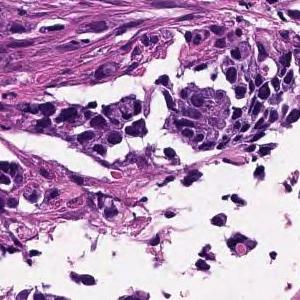
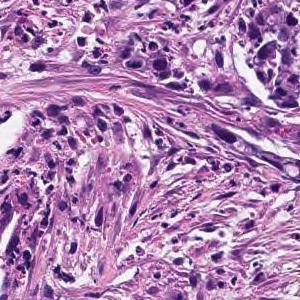
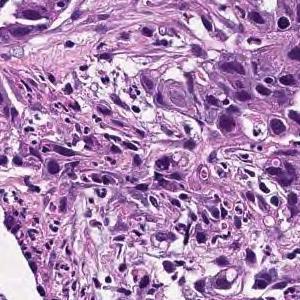
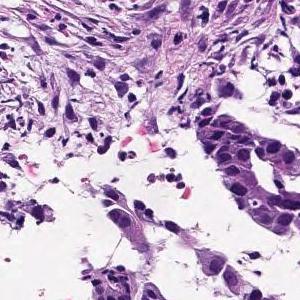
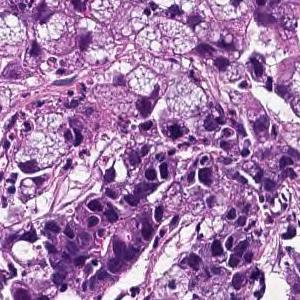
Hematoxylin and eosin stain, 20× magnification, 5 tiles from the same stomach biopsy slide.
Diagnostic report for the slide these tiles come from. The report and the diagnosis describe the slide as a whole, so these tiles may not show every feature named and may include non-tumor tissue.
Medium to small, irregular glandular ducts are formed in the superficial epithelium, and in some cases, the glandular ducts are fused to show solid alveolar lesions and infiltrating tumor tissue is observed. Moderately to poorly differentiated adenocarcinoma.
